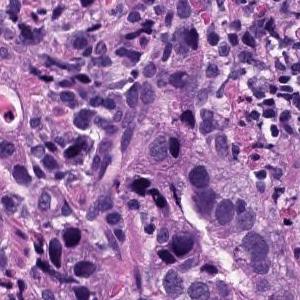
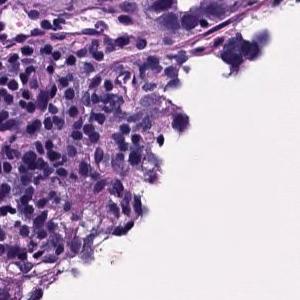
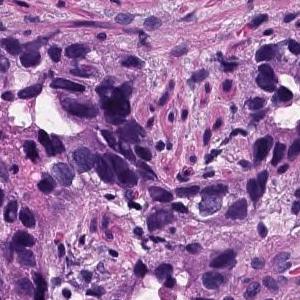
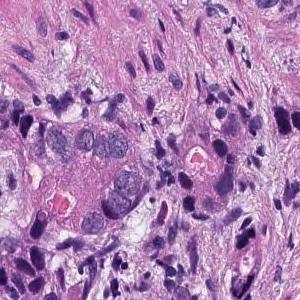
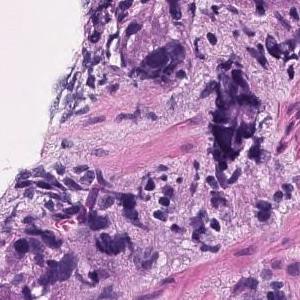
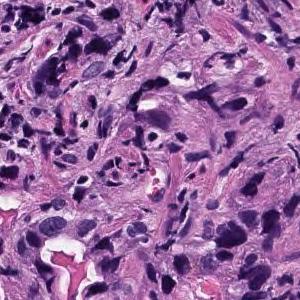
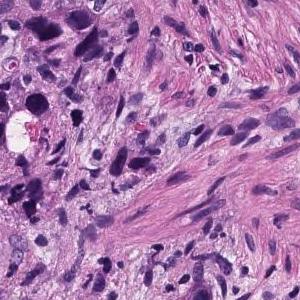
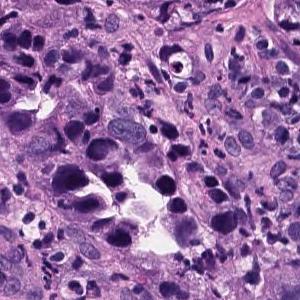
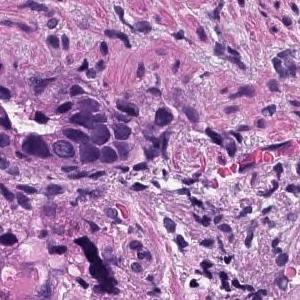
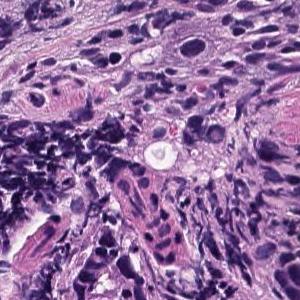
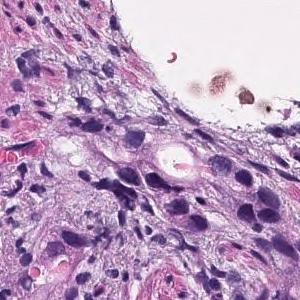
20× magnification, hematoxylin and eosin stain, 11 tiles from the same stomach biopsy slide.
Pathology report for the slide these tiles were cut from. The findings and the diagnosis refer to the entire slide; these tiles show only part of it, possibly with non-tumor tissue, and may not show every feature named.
In the epithelium, tumor tissue in which medium to small irregular gland ducts fuse with each other and infiltrate the submucosa. moderately differentiated tubular adenocarcinoma
